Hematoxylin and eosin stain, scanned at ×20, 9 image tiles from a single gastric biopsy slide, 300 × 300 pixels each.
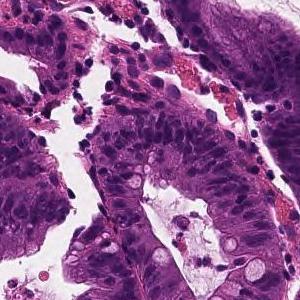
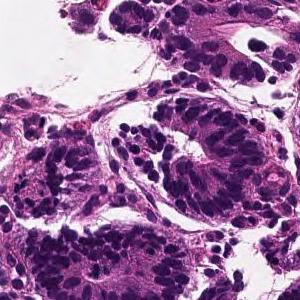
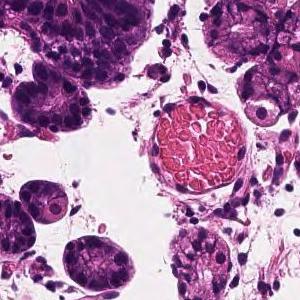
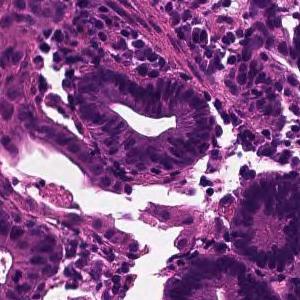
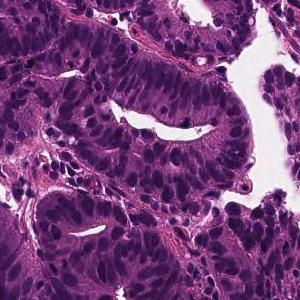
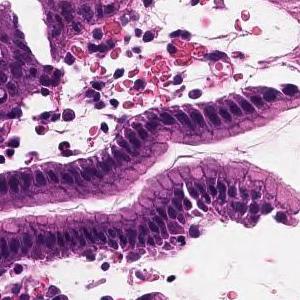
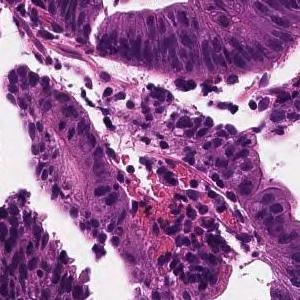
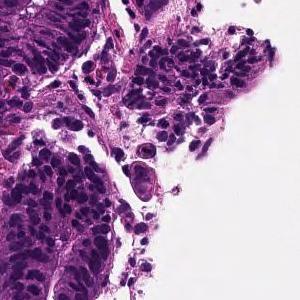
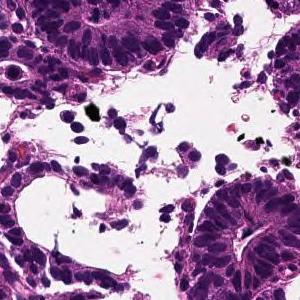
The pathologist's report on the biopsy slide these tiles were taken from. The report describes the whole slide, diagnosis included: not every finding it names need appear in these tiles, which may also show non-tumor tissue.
From the superficial epithelium to the muscularis mucosae, tumor tissue consisting of medium-sized and irregular glandular ducts infiltrating is observed. Well differentiated tubular adenocarcinoma
